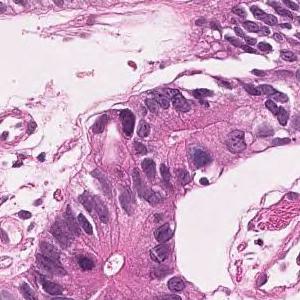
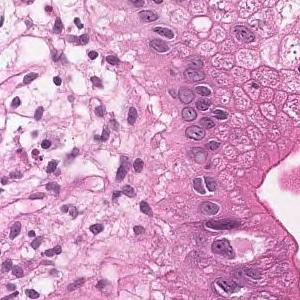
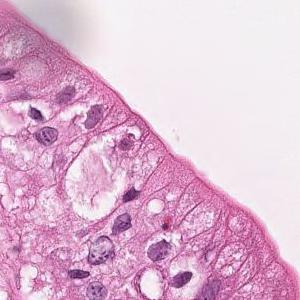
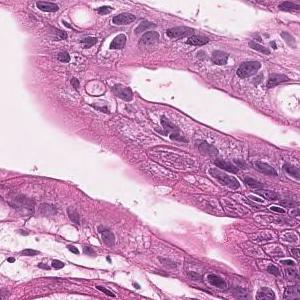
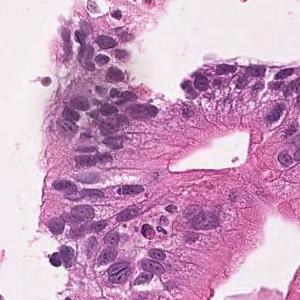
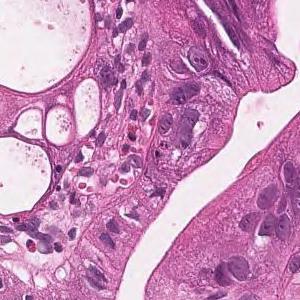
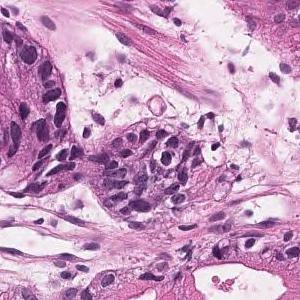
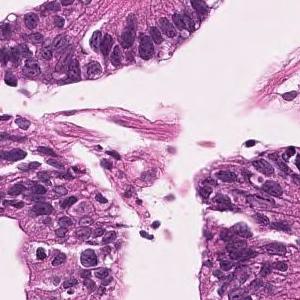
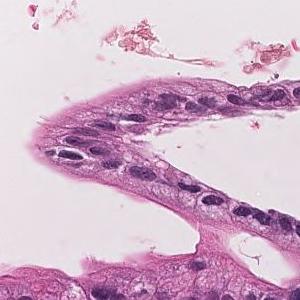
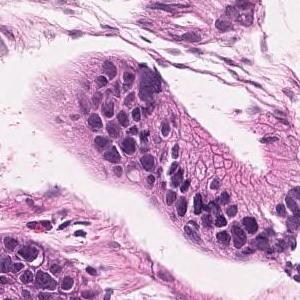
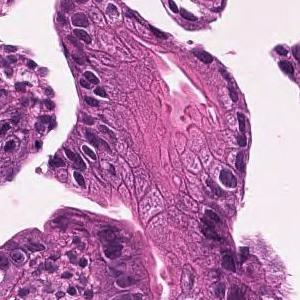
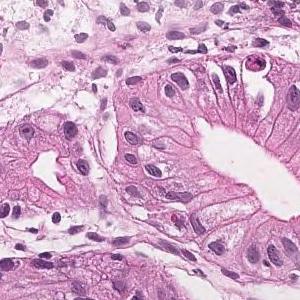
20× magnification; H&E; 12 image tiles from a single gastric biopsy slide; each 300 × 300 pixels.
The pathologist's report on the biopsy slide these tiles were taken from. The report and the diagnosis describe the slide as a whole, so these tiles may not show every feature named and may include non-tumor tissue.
On the superficial epithelium, tumor tissue that infiltrates by forming medium-sized papillary or small irregular ducts is observed. Papillary adenocarcinoma
